20× magnification · H&E · 11 tiles from the same stomach biopsy slide.
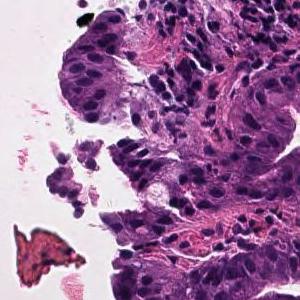
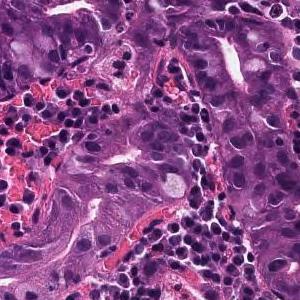
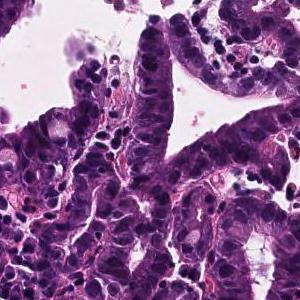
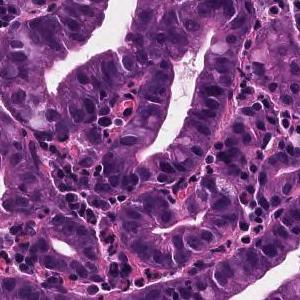
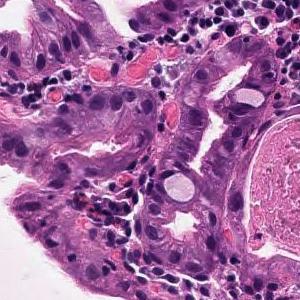
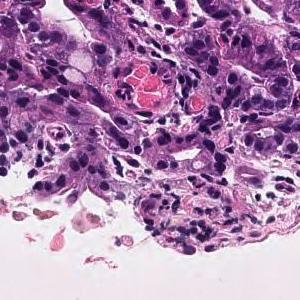
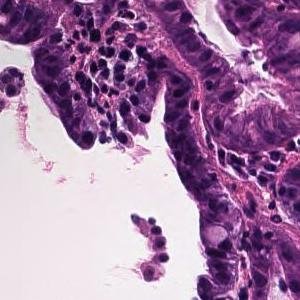
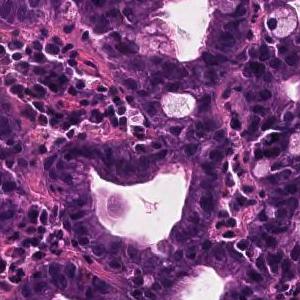
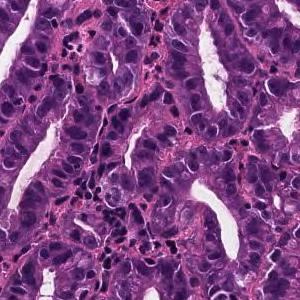
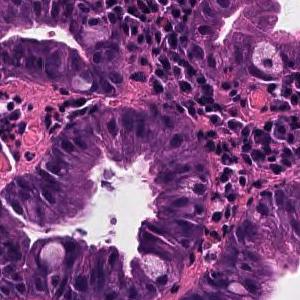
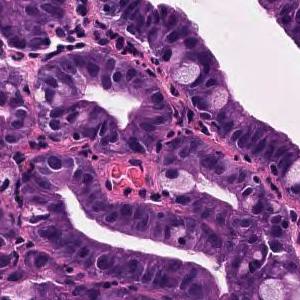
Pathology report for the biopsy slide these tiles were cut from. The report and the diagnosis cover the entire slide, so not every feature they name need be visible here, and some tissue shown may not be tumor.
Atypical tubular proliferation of well to moderately differentiated gastric gland with hyperchromatic nuclei and high N:C ratio. Mitotic figures were also present. These histological findings were suggestive of well to moderately differentiated tubular adenocarcinoma (well differentiated tubular adenocarcinoma, moderately differentiated tubular adenocarcinoma).
The dataset labels this slide well differentiated tubular adenocarcinoma.
